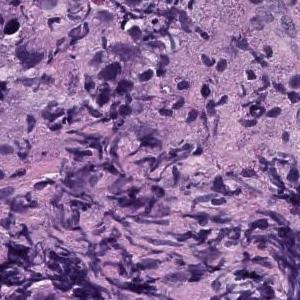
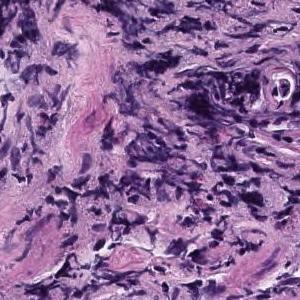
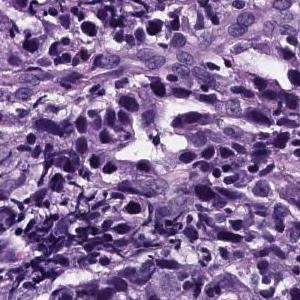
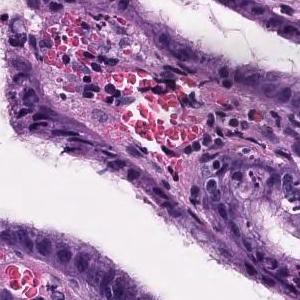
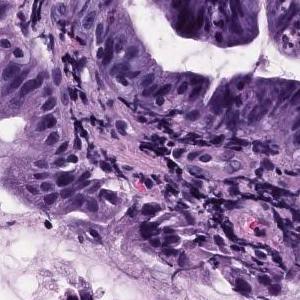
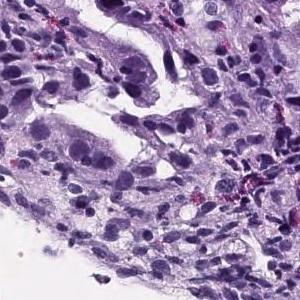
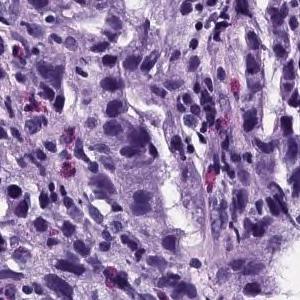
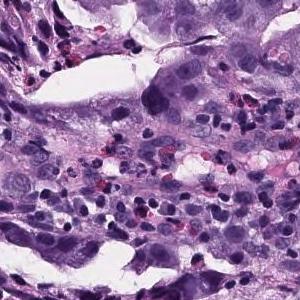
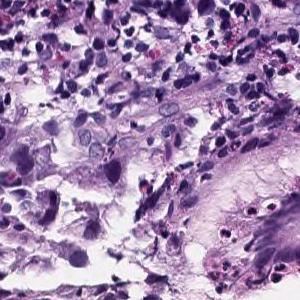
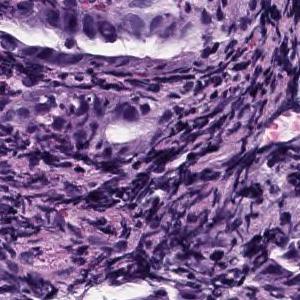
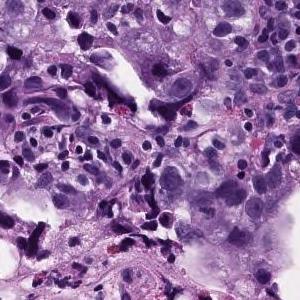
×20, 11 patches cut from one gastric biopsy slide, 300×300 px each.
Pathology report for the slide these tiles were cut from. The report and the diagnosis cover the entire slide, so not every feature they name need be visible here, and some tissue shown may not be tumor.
Atypical epithelial cells infiltrating and proliferating while forming solid or cord-like fused glandular cavities of different sizes is observed. moderately differentiated tubular adenocarcinoma, poorly differentiated adenocarcinoma.
Histologic type: Moderately to poorly differentiated adenocarcinoma.
